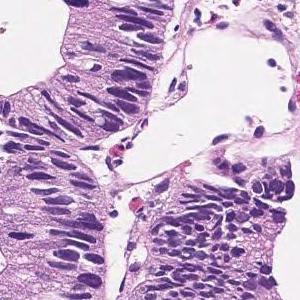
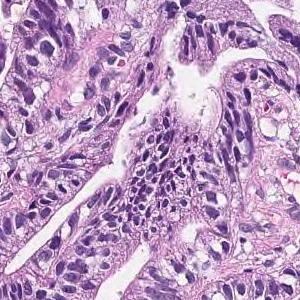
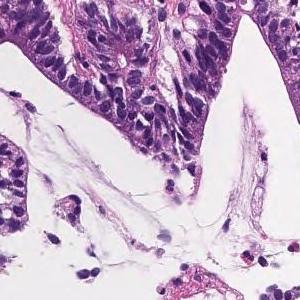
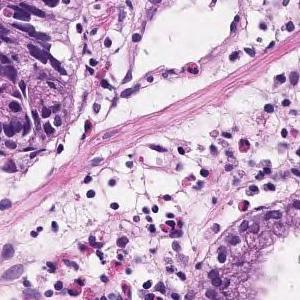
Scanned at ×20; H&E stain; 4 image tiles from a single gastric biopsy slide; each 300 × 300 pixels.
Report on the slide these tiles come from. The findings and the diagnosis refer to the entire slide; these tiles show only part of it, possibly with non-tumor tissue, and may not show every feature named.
In the superficial epithelium, tumor tissue that invades by forming medium-sized to small, irregular ducts is observed. Moderately differentiated adenocarcinoma.
Histologic type: Moderately differentiated tubular adenocarcinoma.
